14 tiles from the same stomach biopsy slide · each 300 × 300 pixels · scanned at ×20 · H&E.
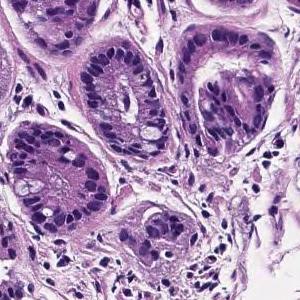
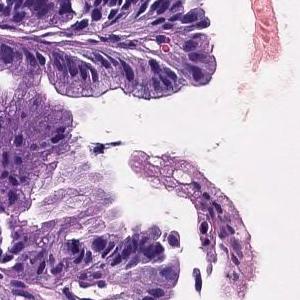
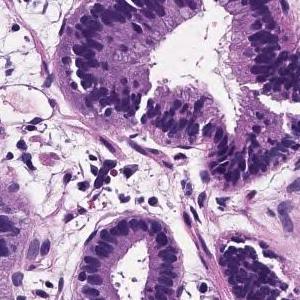
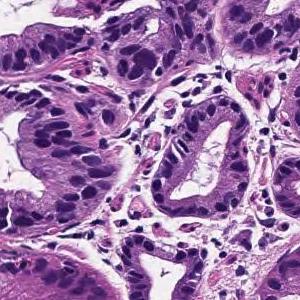
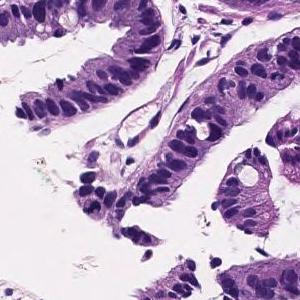
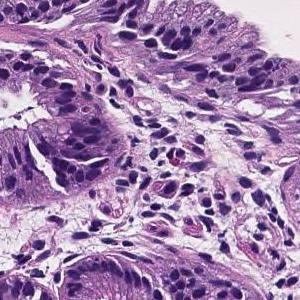
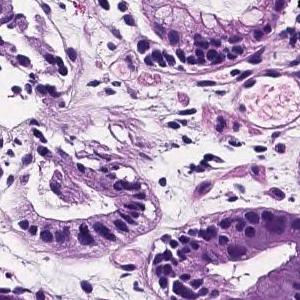
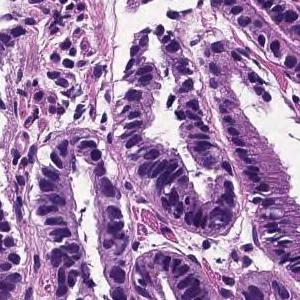
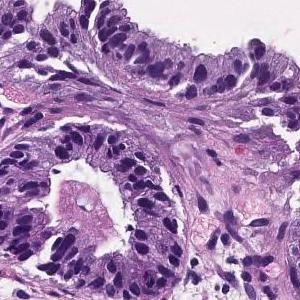
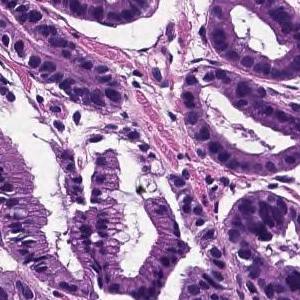
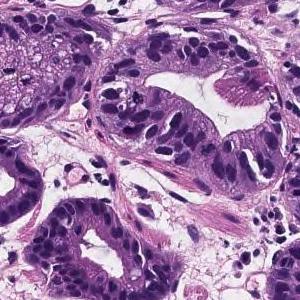
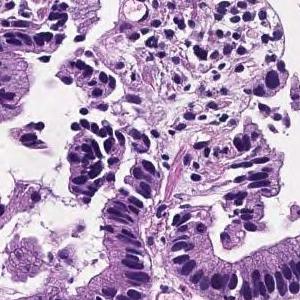
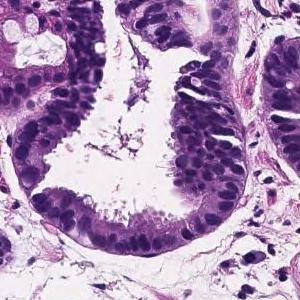
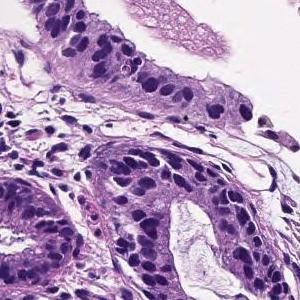
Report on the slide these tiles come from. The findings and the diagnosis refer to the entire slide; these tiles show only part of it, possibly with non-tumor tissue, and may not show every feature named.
Tumor cells are large, highly columnar, large club-shaped nuclei, and are associated with chromatin aggregation. Papillary adenocarcinoma.
